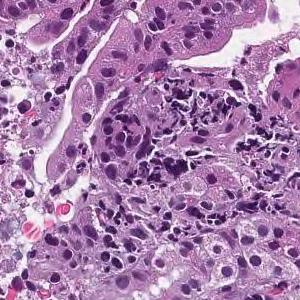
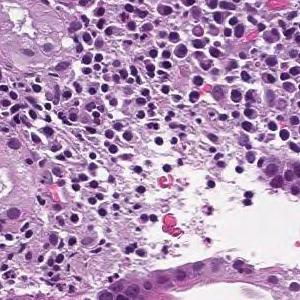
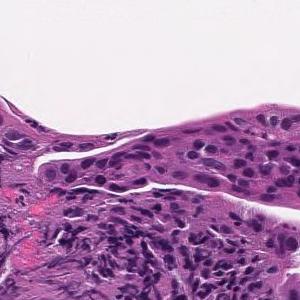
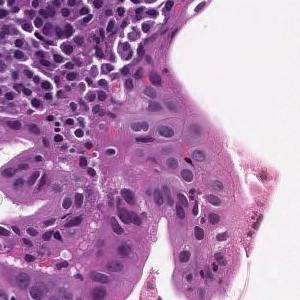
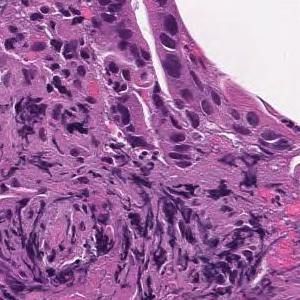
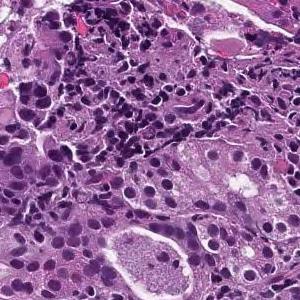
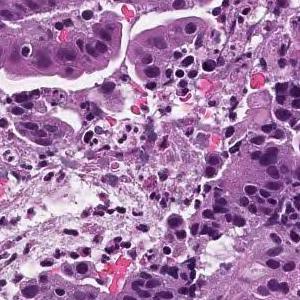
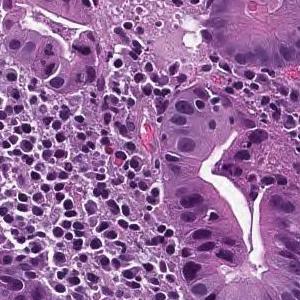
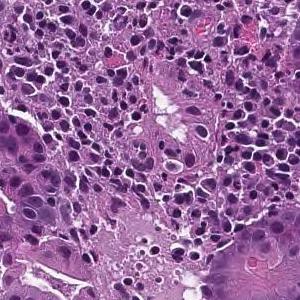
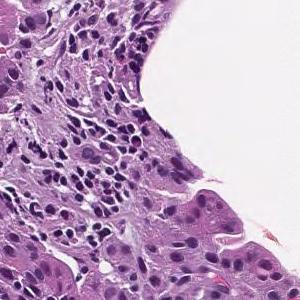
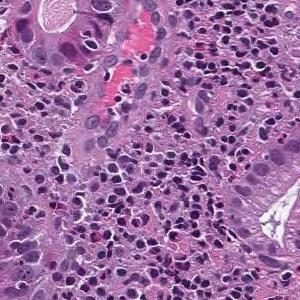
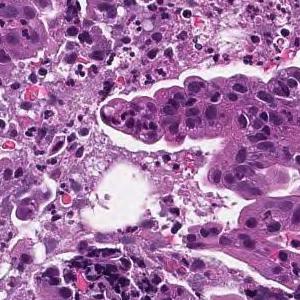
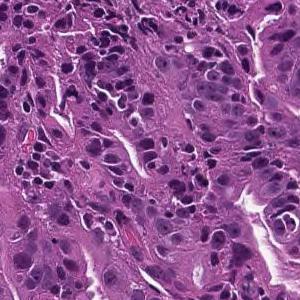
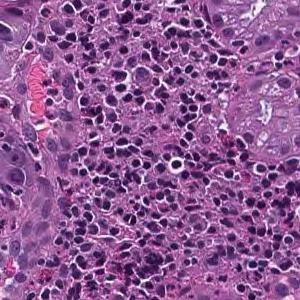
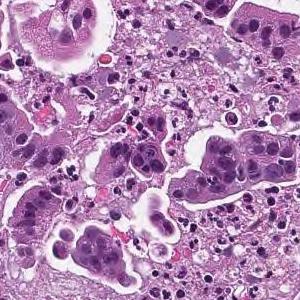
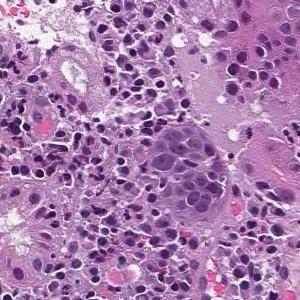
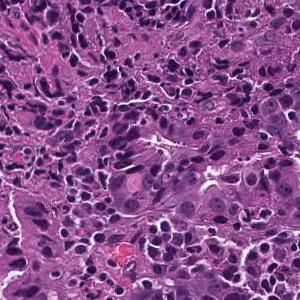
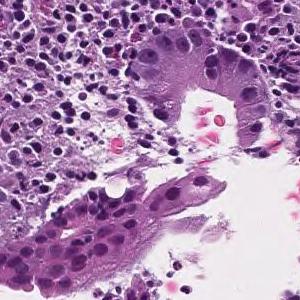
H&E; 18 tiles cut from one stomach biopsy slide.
Diagnostic report for the slide these tiles come from. The report and the diagnosis describe the slide as a whole, so these tiles may not show every feature named and may include non-tumor tissue.
From the superficial epithelium to the muscularis mucosae, tumor tissue consisting of medium-sized and irregular glandular ducts infiltrating is observed. Well differentiated tubular adenocarcinoma
